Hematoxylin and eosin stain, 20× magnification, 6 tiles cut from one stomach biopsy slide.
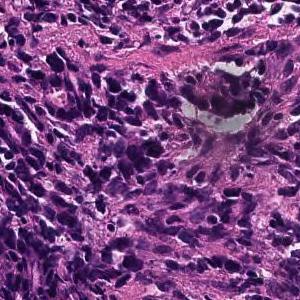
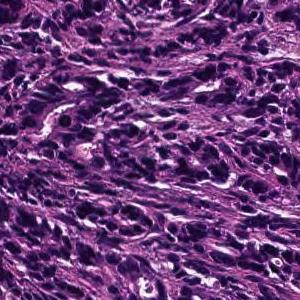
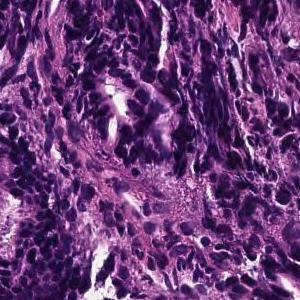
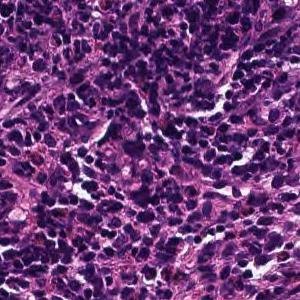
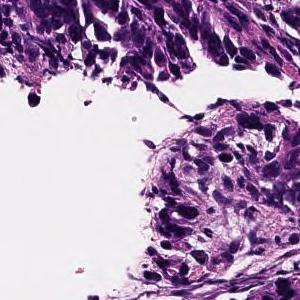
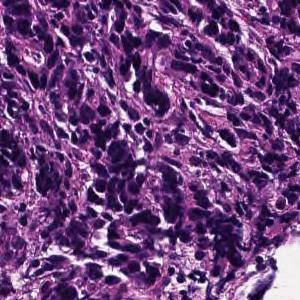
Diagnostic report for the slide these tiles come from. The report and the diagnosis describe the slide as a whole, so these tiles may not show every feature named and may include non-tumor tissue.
On the superficial epithelium, tumor tissue is found in which medium-sized irregular gland ducts fuse with each other and infiltrate. moderately differentiated tubular adenocarcinoma or Poorly differentiated adenocarcinoma, non-solid type
Histologic type: Moderately to poorly differentiated adenocarcinoma.
The non-solid type named here is a Japanese Classification of Gastric Carcinoma category.
